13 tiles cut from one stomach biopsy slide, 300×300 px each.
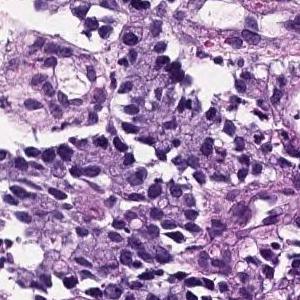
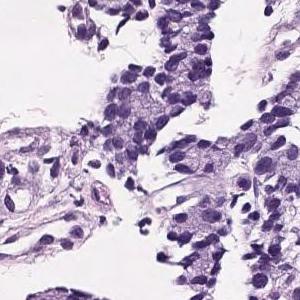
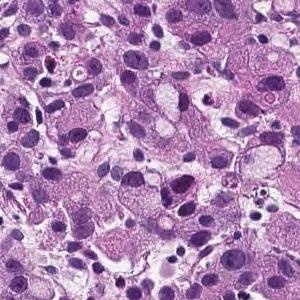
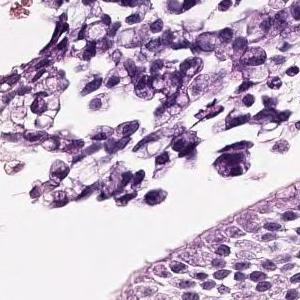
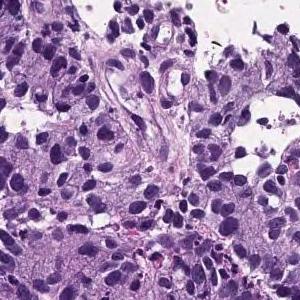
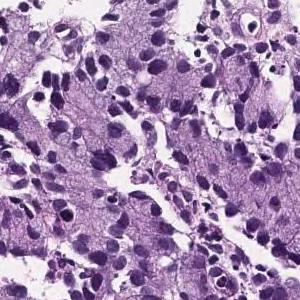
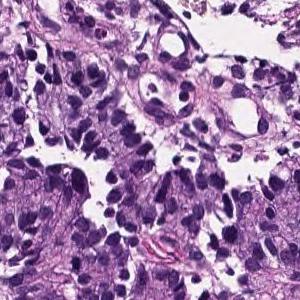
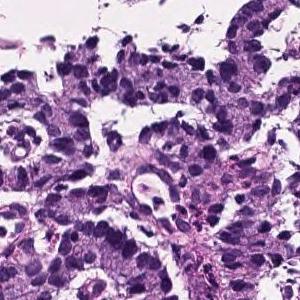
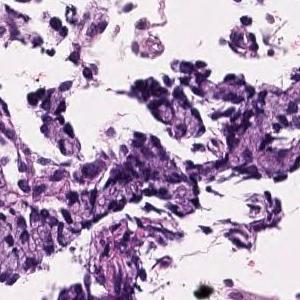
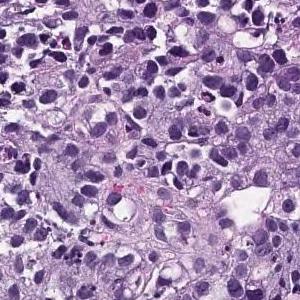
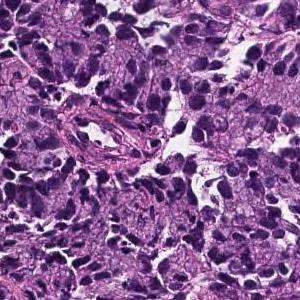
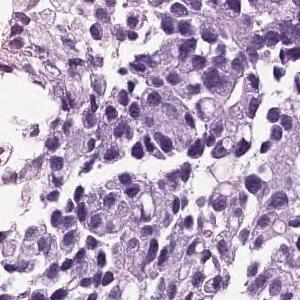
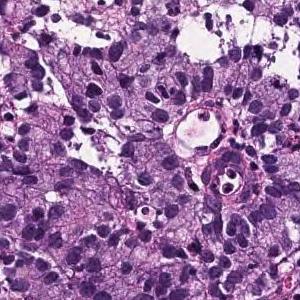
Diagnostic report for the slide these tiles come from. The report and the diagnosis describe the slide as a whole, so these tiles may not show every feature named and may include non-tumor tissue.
Tumor tissue infiltrated by irregular fusion of small cord-like structures is found in the superficial epithelium. Poorly differentiated adenocarcinoma, non-solid type
The non-solid type named here is a Japanese Classification of Gastric Carcinoma category.
